14 tiles cut from one stomach biopsy slide.
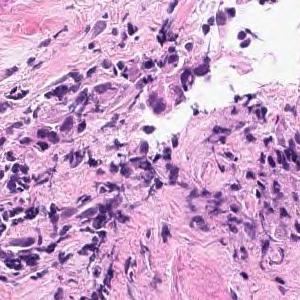
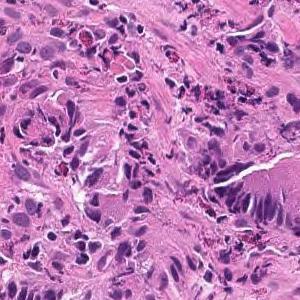
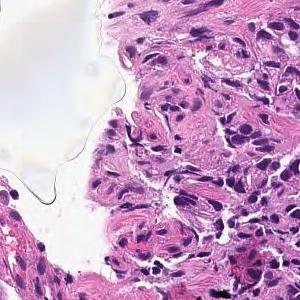
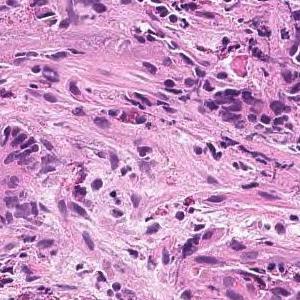
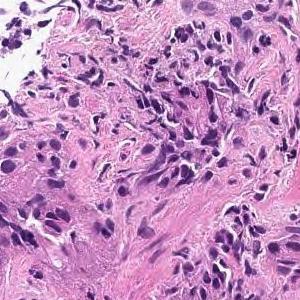
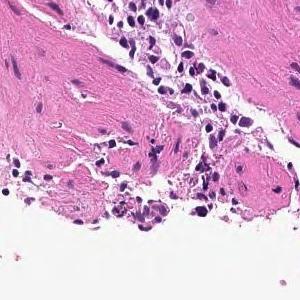
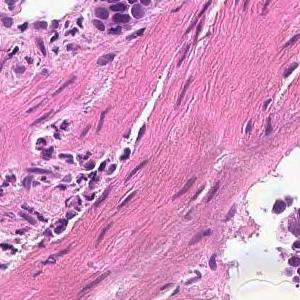
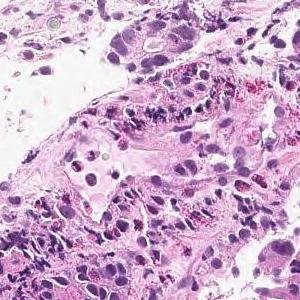
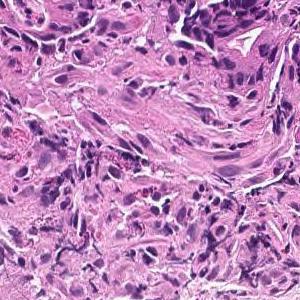
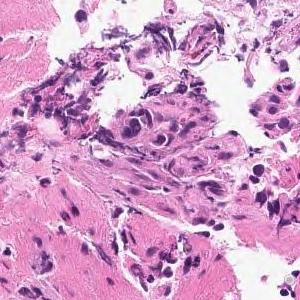
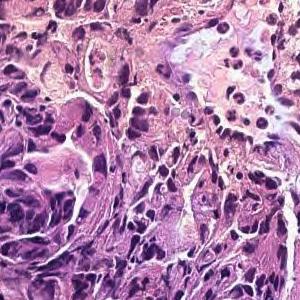
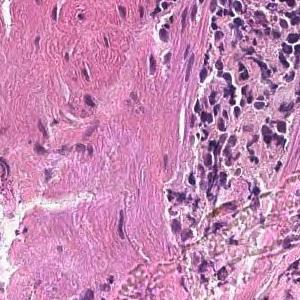
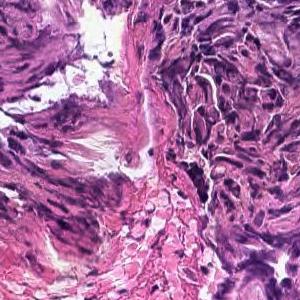
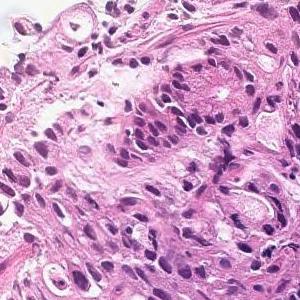
The pathologist's report on the biopsy slide these tiles were taken from. The report and the diagnosis describe the slide as a whole, so these tiles may not show every feature named and may include non-tumor tissue.
On the superficial epithelium, tumor tissue consisting of large irregular glandular ducts partially fused and infiltrated is observed. Well to moderately differentiated tubular adenocarcinoma (well differentiated tubular adenocarcinoma, moderately differentiated tubular adenocarcinoma)
Classified as well to moderately differentiated tubular adenocarcinoma.
